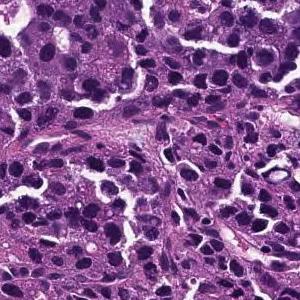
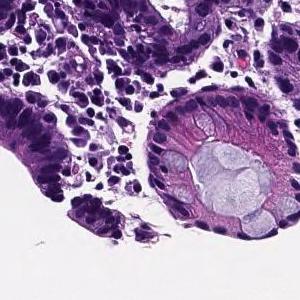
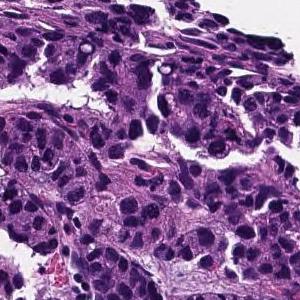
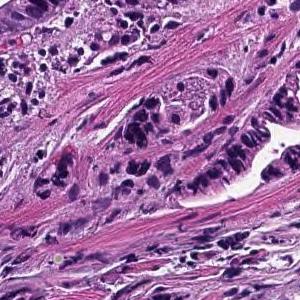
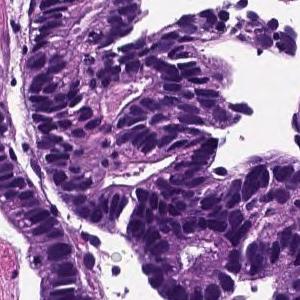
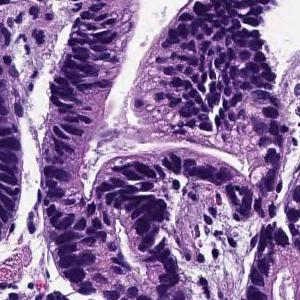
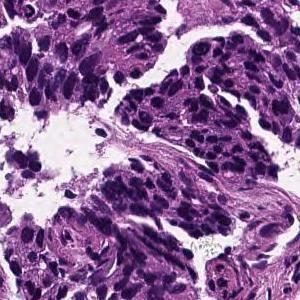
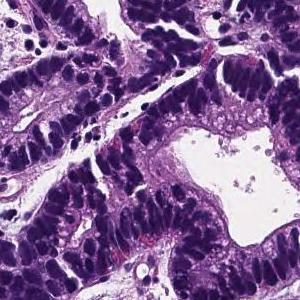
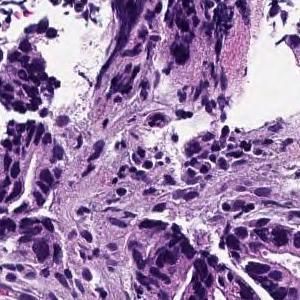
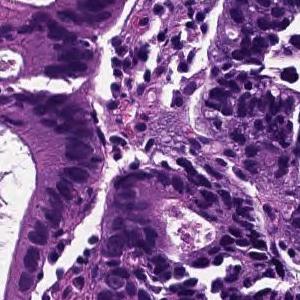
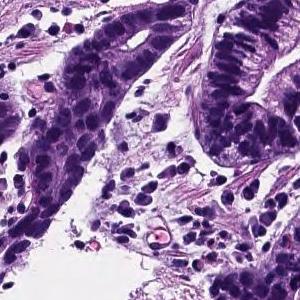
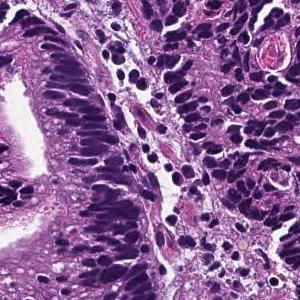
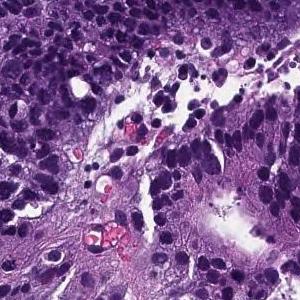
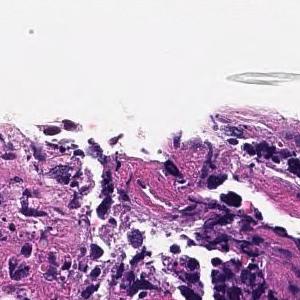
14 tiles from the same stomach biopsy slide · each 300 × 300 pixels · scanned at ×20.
Diagnostic report for the slide these tiles come from. Both the report and the diagnosis are for the whole slide: these tiles need not show every feature named, and some of the tissue shown may not be tumor.
From the superficial epithelium to the muscularis mucosae, tumor tissue consisting of medium-sized and irregular glandular ducts infiltrating is observed. Well differentiated tubular adenocarcinoma
